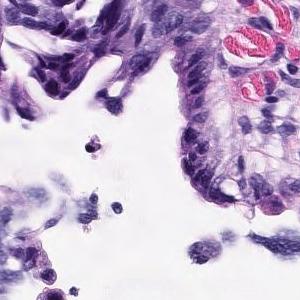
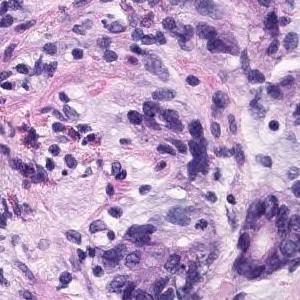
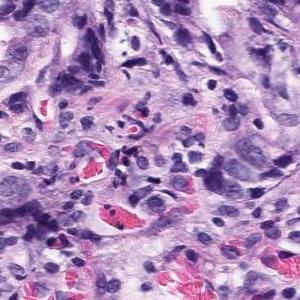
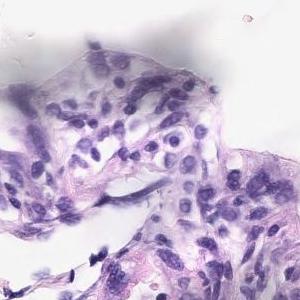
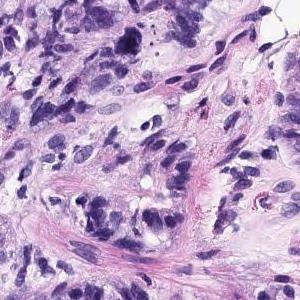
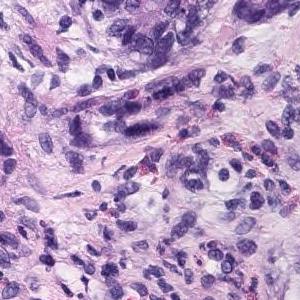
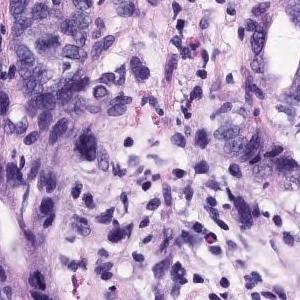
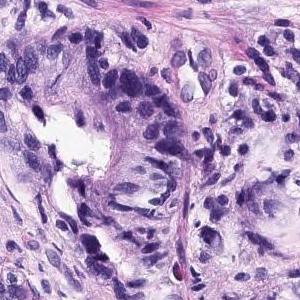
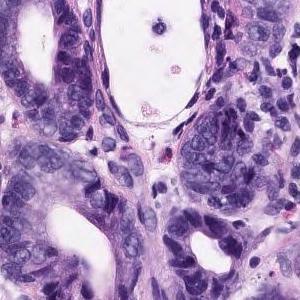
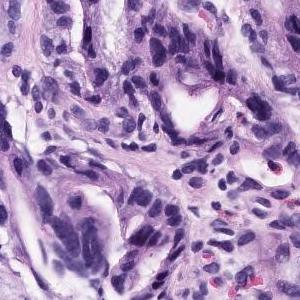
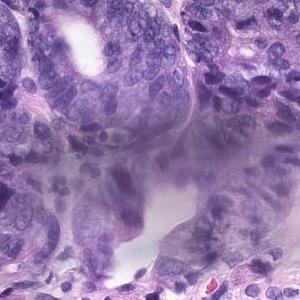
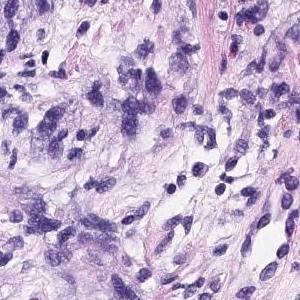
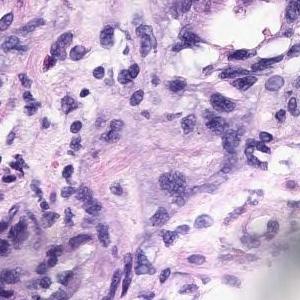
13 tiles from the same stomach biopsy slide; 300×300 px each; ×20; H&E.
The pathologist's report on the biopsy slide these tiles were taken from. Both the report and the diagnosis are for the whole slide: these tiles need not show every feature named, and some of the tissue shown may not be tumor.
In the superficial epithelium, tumor tissue that invades by forming medium-sized to small, irregular ducts is observed. Moderately differentiated adenocarcinoma
Classified as moderately differentiated tubular adenocarcinoma.
